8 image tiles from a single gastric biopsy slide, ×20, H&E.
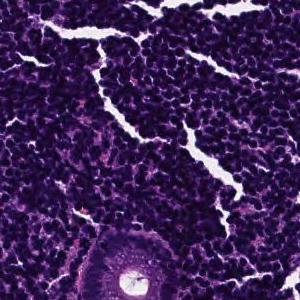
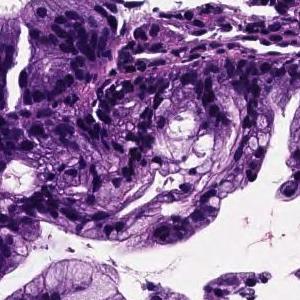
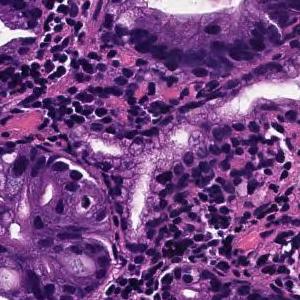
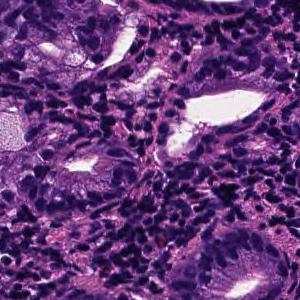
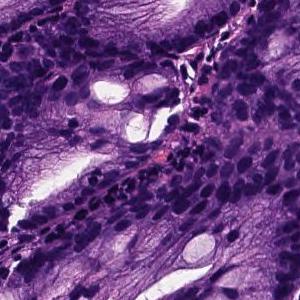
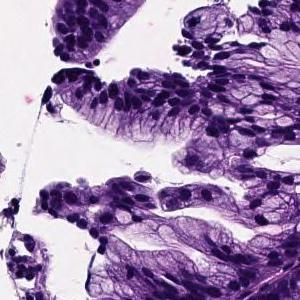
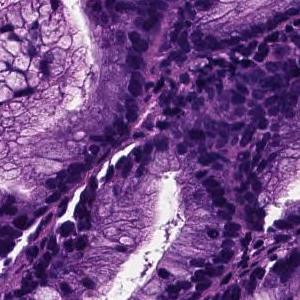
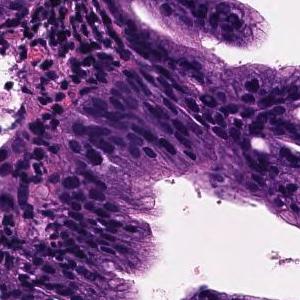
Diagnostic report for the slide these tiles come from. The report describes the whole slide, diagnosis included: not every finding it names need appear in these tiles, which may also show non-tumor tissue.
On the superficial epithelium, tumor tissue that infiltrates by forming medium-sized papillary or small irregular ducts is observed. Papillary adenocarcinoma
